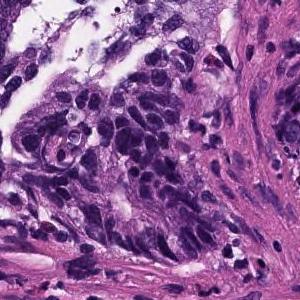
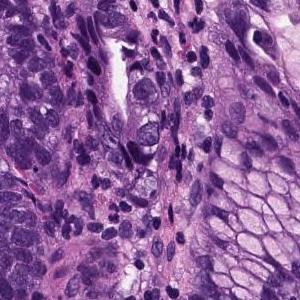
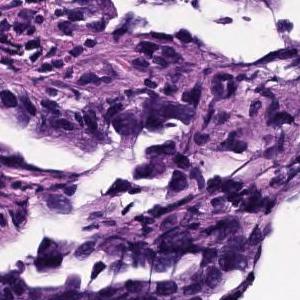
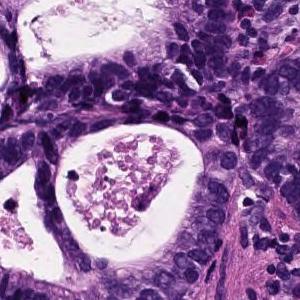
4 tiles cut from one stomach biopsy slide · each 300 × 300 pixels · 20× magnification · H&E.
Pathology report for the slide these tiles were cut from. The report and the diagnosis describe the slide as a whole, so these tiles may not show every feature named and may include non-tumor tissue.
In the superficial epithelium, tumor tissue that invades by forming medium-sized to small, irregular ducts is observed. Moderately differentiated adenocarcinoma.
Subtype: Moderately differentiated tubular adenocarcinoma.
